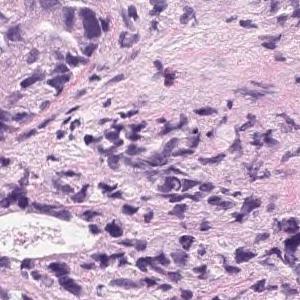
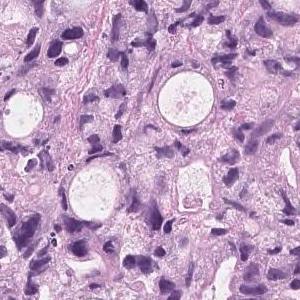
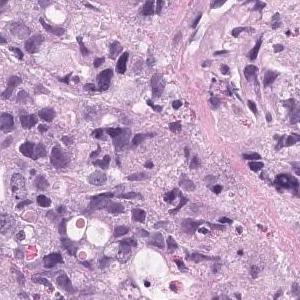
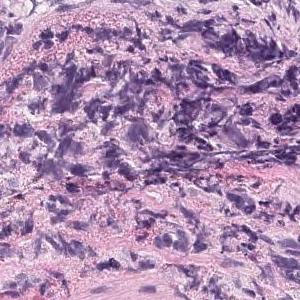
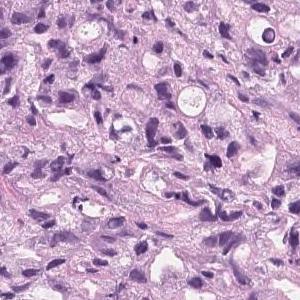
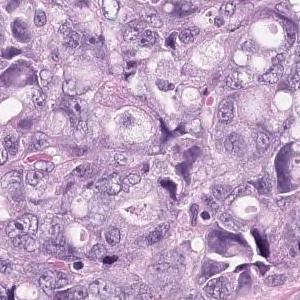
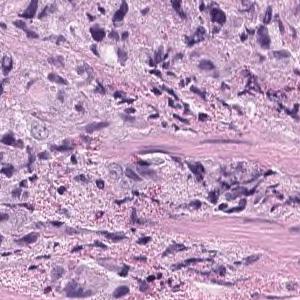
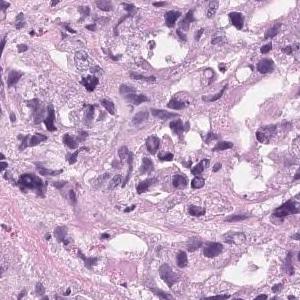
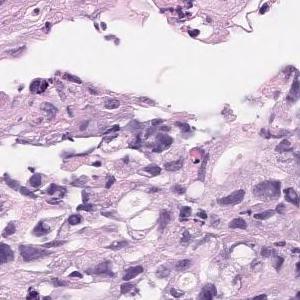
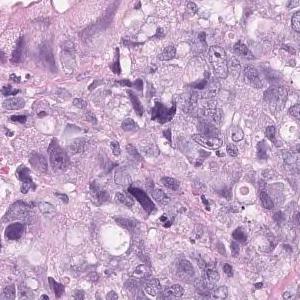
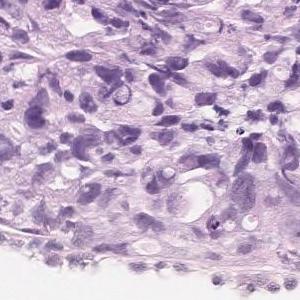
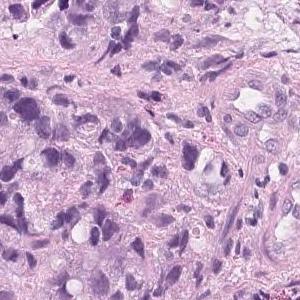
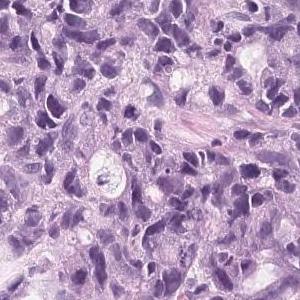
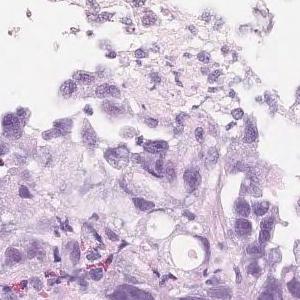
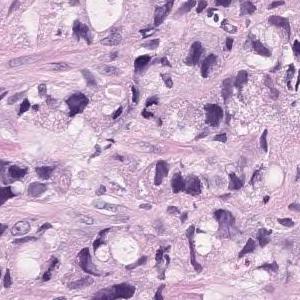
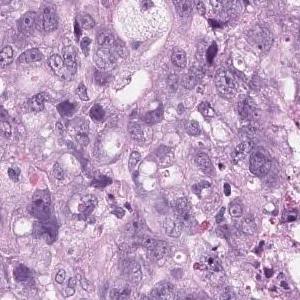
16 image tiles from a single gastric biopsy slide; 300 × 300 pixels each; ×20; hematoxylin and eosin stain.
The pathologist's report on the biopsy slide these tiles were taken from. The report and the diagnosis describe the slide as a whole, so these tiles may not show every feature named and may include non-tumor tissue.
Tumor tissue that infiltrates and proliferates by forming small glandular cavities in the superficial layer to the submucosa or forming a mass is observed. moderately differentiated tubular adenocarcinoma
